16 patches cut from one gastric biopsy slide; hematoxylin and eosin stain; 20× magnification.
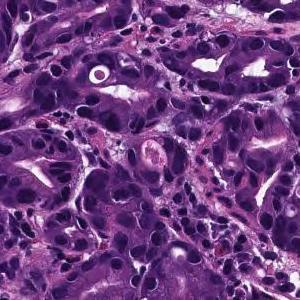
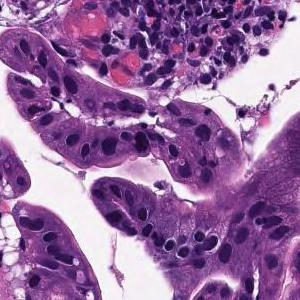
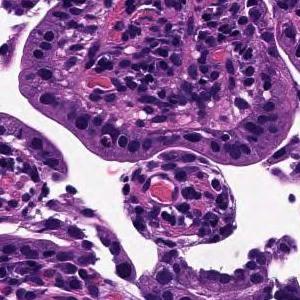
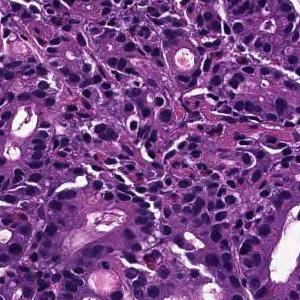
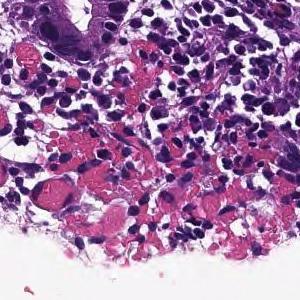
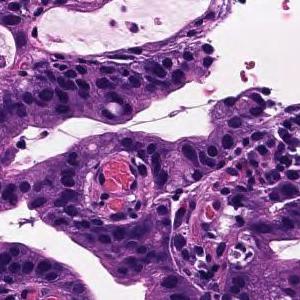
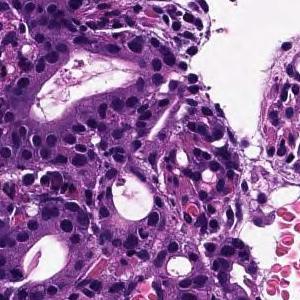
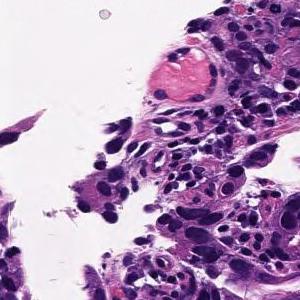
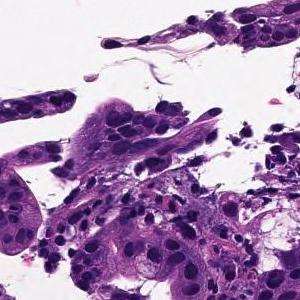
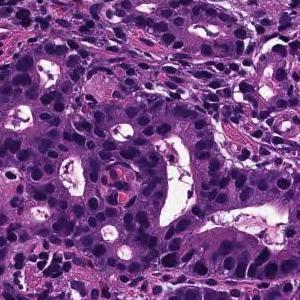
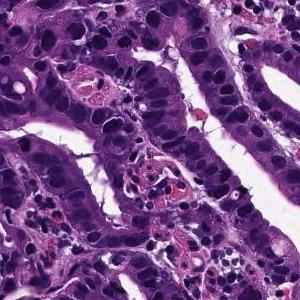
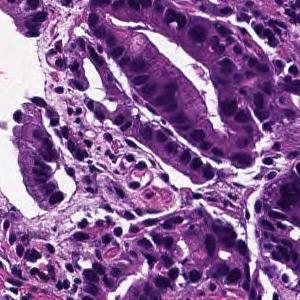
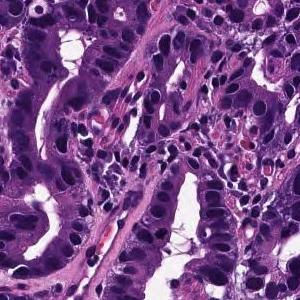
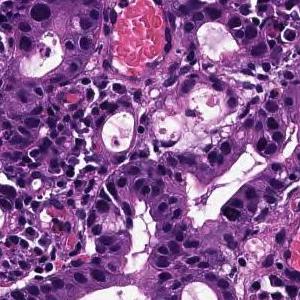
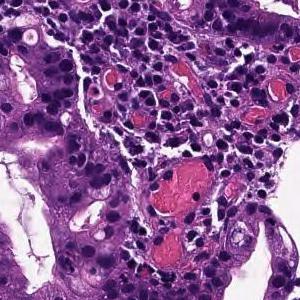
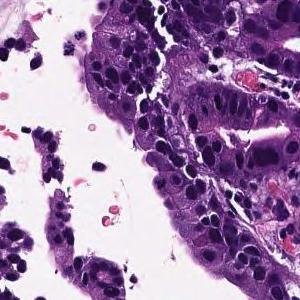
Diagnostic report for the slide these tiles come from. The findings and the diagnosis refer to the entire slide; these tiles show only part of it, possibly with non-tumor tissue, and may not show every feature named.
From the superficial epithelium to the muscularis mucosae, tumor tissue consisting of medium-sized and irregular glandular ducts infiltrating is observed. Well differentiated tubular adenocarcinoma
